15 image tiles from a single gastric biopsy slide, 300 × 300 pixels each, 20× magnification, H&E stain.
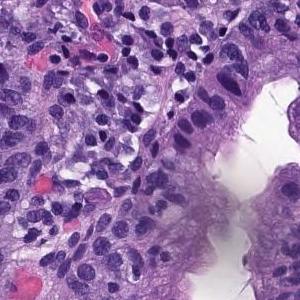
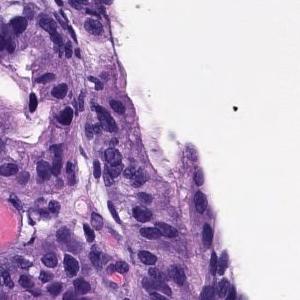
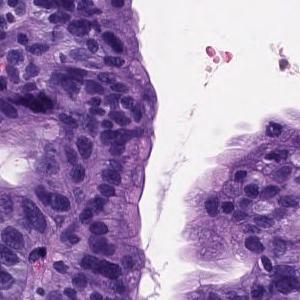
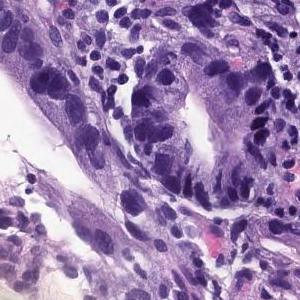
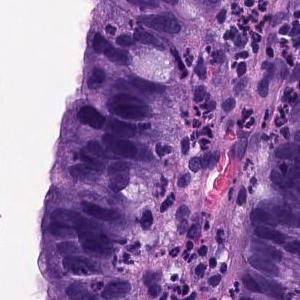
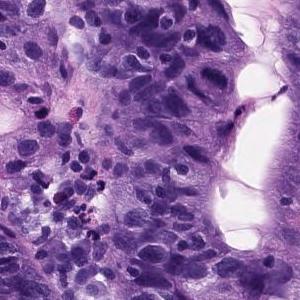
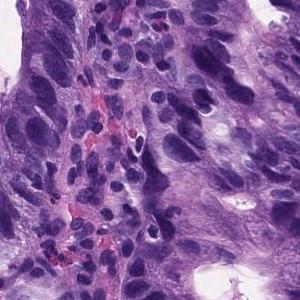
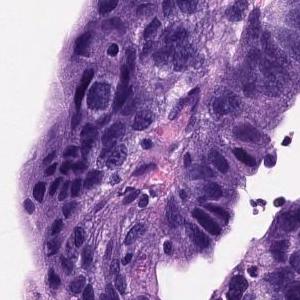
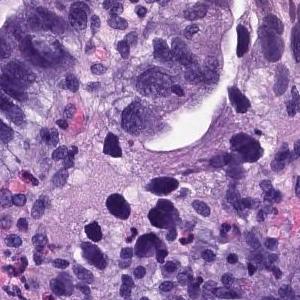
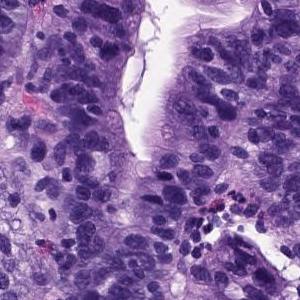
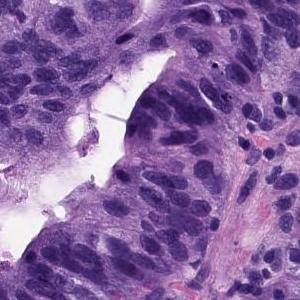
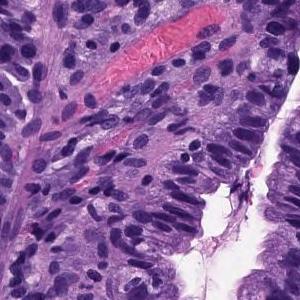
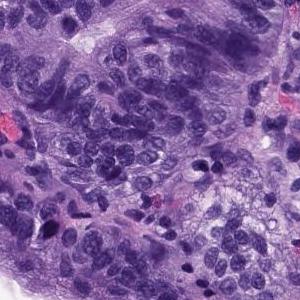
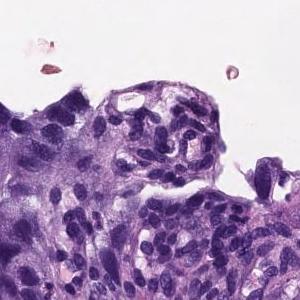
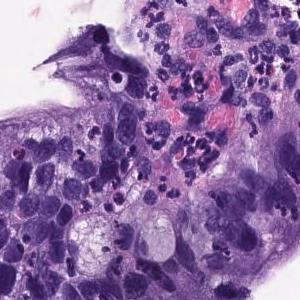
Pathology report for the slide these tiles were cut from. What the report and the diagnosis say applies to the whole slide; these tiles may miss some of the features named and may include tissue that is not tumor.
There are atypical l cells with atypical nuclei forming irregular glandular ducts and growing in a complex manner. Well differentiated tubular adenocarcinoma
